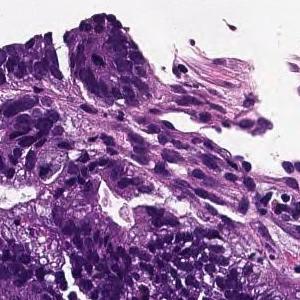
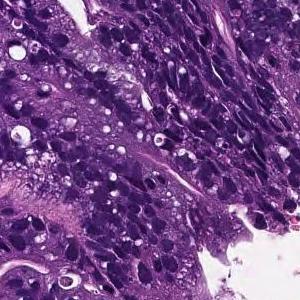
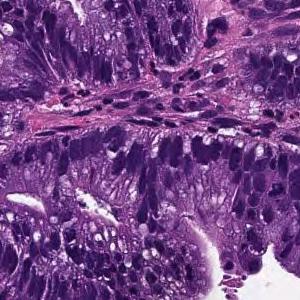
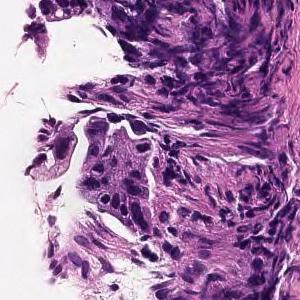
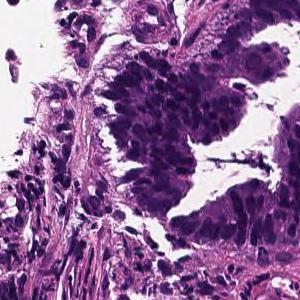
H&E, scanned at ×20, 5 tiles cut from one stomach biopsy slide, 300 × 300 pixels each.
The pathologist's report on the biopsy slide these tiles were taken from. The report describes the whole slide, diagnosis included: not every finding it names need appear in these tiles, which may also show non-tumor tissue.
Tumor cells are large, highly columnar, large club-shaped nuclei, and are associated with chromatin aggregation. Papillary adenocarcinoma.
